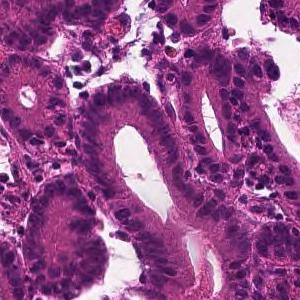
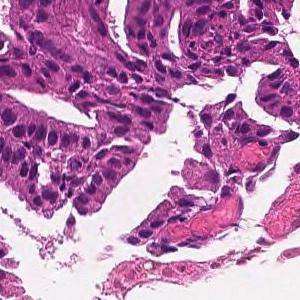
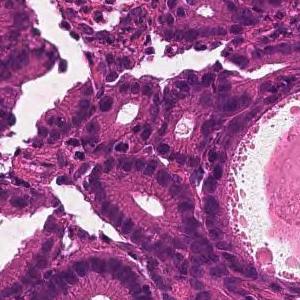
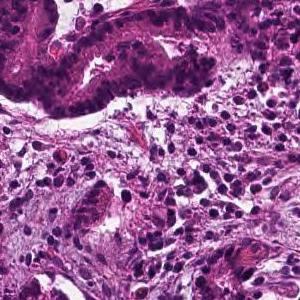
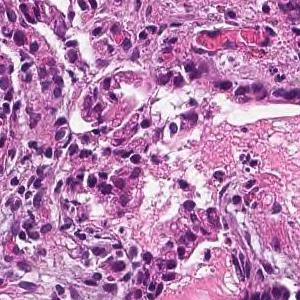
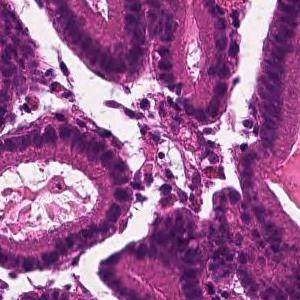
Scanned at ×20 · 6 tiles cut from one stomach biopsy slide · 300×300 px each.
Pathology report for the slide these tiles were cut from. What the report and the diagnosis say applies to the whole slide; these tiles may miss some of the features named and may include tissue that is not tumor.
From the superficial epithelium to the muscularis mucosae, tumor tissue consisting of medium-sized and irregular glandular ducts infiltrating is observed. Well differentiated tubular adenocarcinoma
